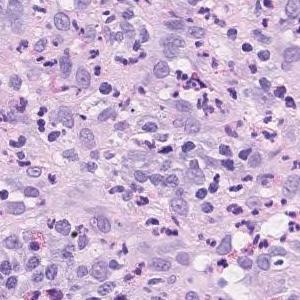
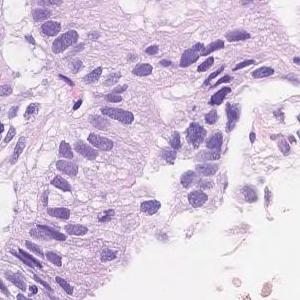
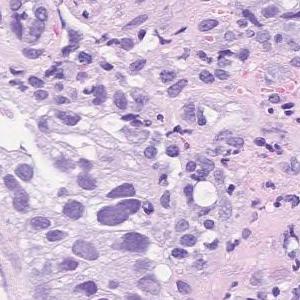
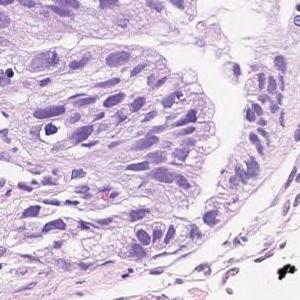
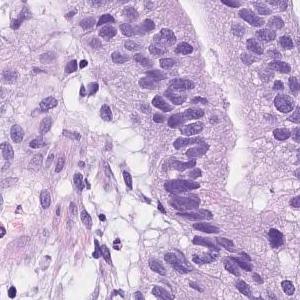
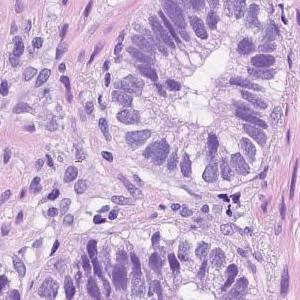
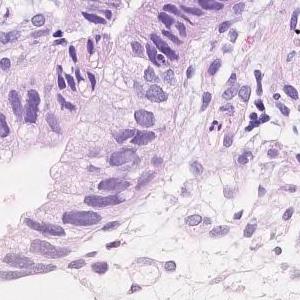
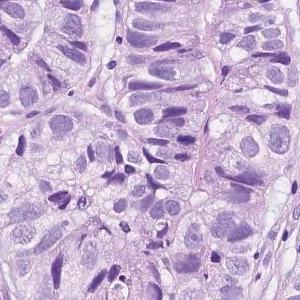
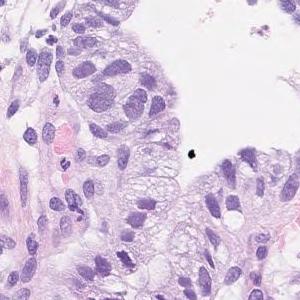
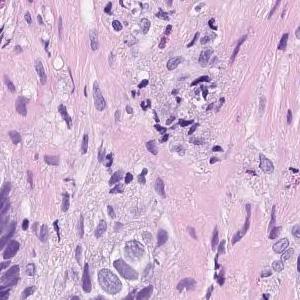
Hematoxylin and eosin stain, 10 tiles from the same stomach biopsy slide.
Diagnostic report for the slide these tiles come from. What the report and the diagnosis say applies to the whole slide; these tiles may miss some of the features named and may include tissue that is not tumor.
Atypical l cells with atypical nuclei forming solid or diffuse vesicles or small irregular atypical ducts and growing in a complex manner. moderately differentiated tubular adenocarcinoma
